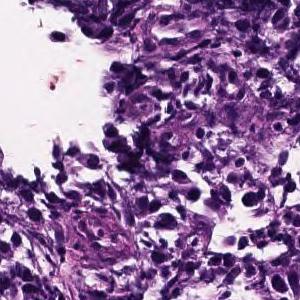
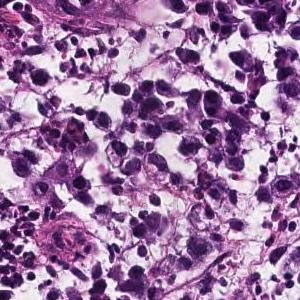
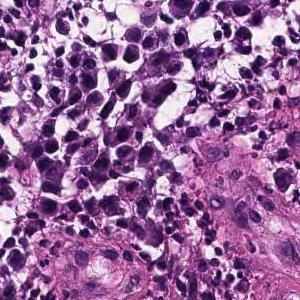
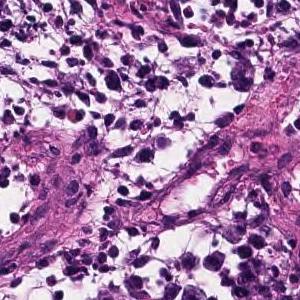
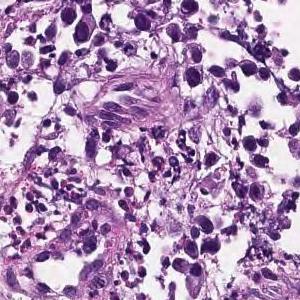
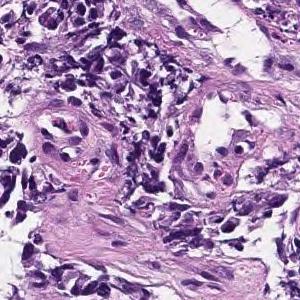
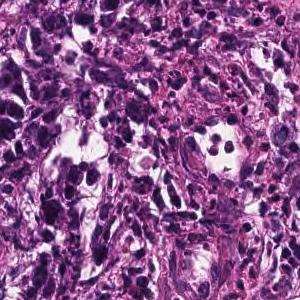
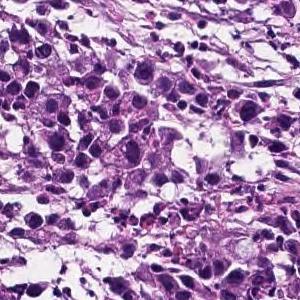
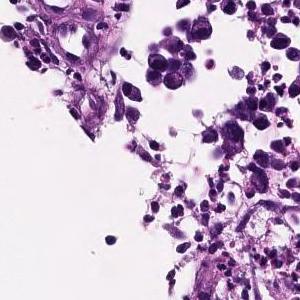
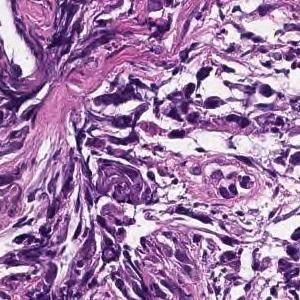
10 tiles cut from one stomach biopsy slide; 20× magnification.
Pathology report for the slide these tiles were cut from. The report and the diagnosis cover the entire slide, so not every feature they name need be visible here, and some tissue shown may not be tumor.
The superficial epithelium shows a small alveolar shape, and some tumor tissues infiltrate with a cord-like structure. Poorly differentiated adenocarcinoma, solid-type
Subtype: Poorly differentiated adenocarcinoma, solid type (Japanese Classification of Gastric Carcinoma). The WHO 2019 equivalent is tubular adenocarcinoma, poorly differentiated.
